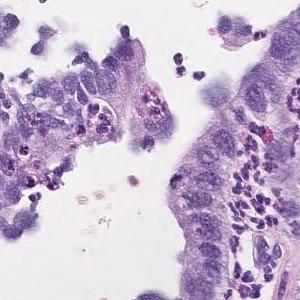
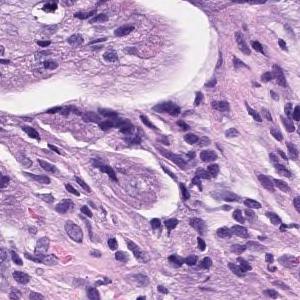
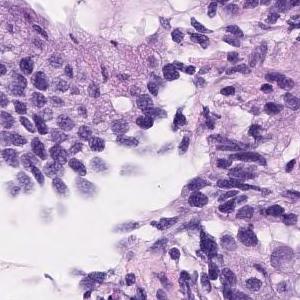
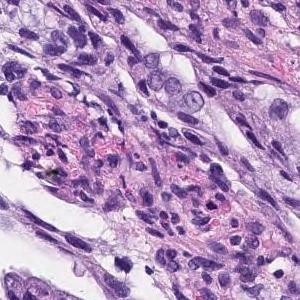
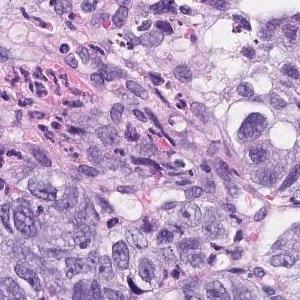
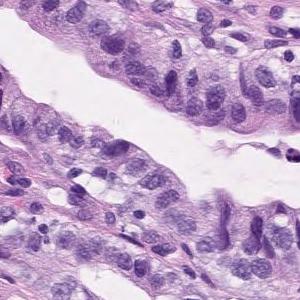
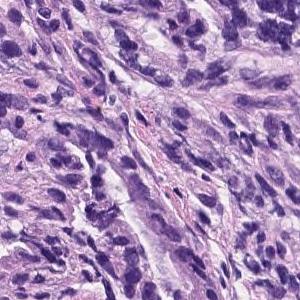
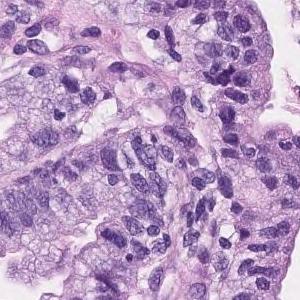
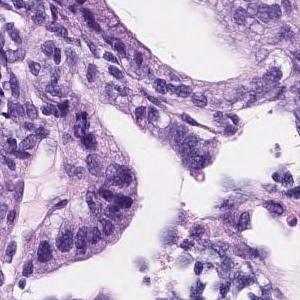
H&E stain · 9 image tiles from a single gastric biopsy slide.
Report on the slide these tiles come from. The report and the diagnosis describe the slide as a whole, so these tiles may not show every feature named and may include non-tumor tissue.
Tumor cells are large, highly columnar, large club-shaped nuclei, and are associated with chromatin aggregation. Papillary adenocarcinoma.
